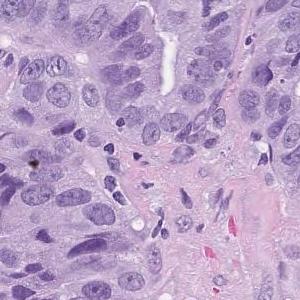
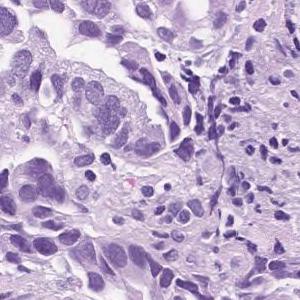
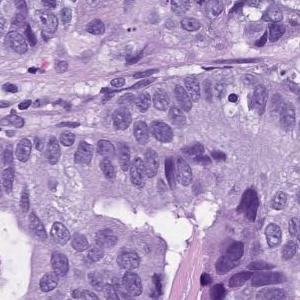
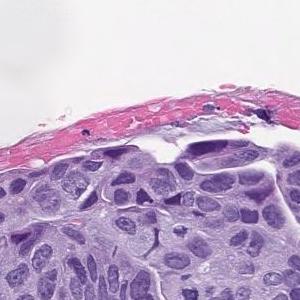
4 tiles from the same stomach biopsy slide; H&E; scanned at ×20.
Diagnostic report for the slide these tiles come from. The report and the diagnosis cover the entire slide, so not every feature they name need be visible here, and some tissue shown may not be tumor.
In the superficial epithelium, tumor tissue that invades by forming medium-sized to small, irregular ducts is observed. moderately differentiated tubular adenocarcinoma.
